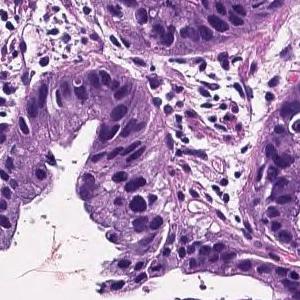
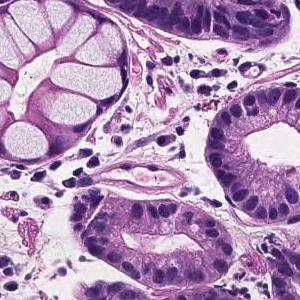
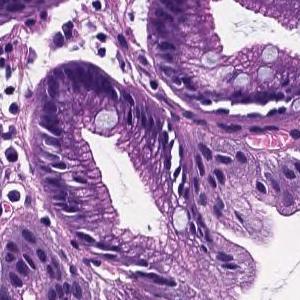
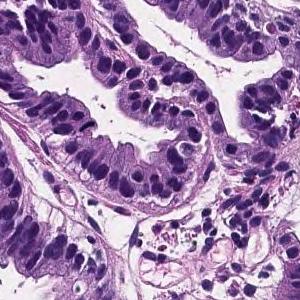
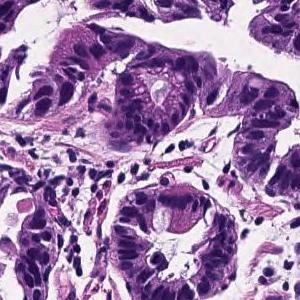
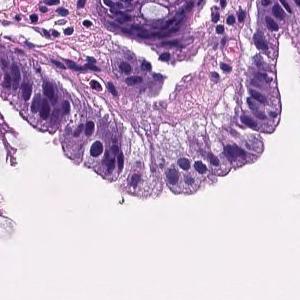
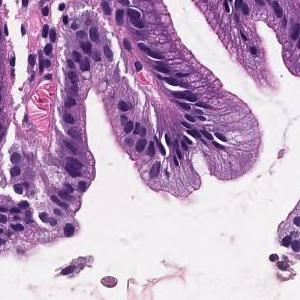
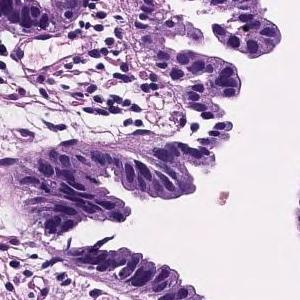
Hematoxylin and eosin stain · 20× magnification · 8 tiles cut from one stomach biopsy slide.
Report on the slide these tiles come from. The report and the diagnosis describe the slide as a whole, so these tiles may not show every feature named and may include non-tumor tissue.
Tumor cells are large, highly columnar, large club-shaped nuclei, and are associated with chromatin aggregation. Papillary adenocarcinoma.
